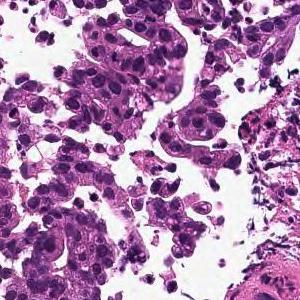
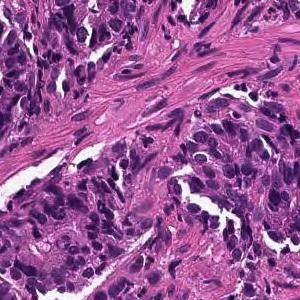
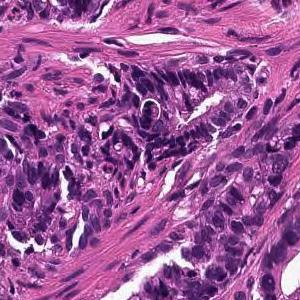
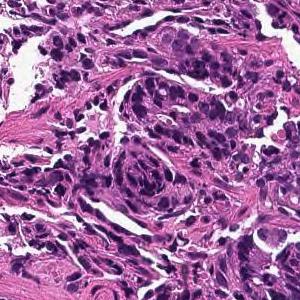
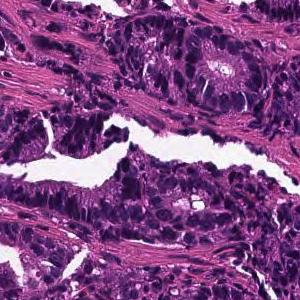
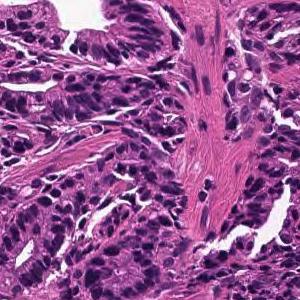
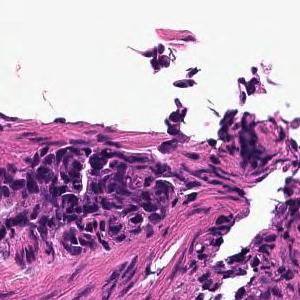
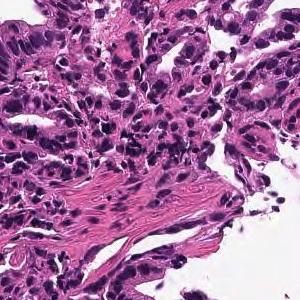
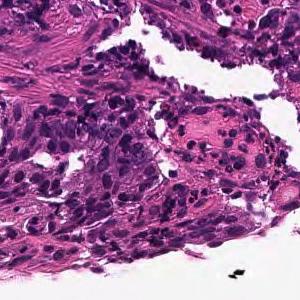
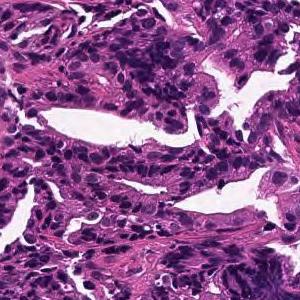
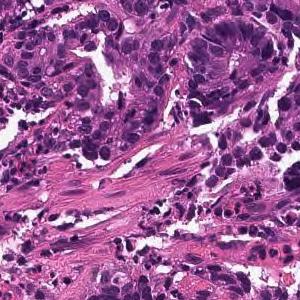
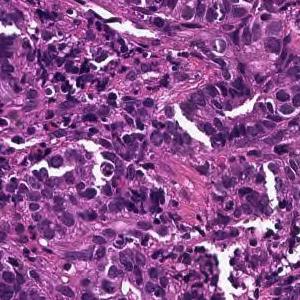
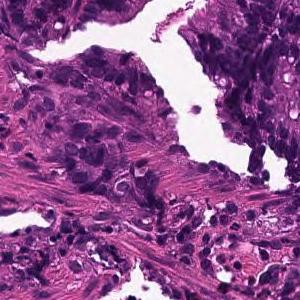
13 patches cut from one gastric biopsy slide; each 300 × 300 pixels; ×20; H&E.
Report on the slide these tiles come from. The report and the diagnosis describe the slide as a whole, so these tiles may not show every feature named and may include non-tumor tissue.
In the superficial epithelium, tumor tissue that invades by forming medium-sized to small, irregular ducts is observed. moderately differentiated tubular adenocarcinoma.
